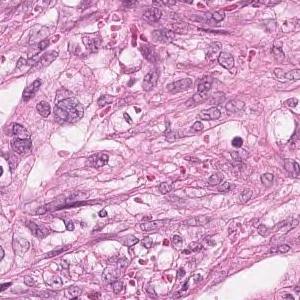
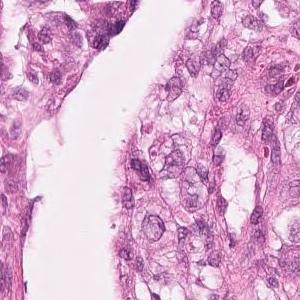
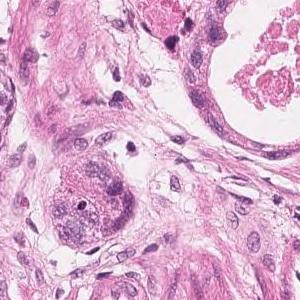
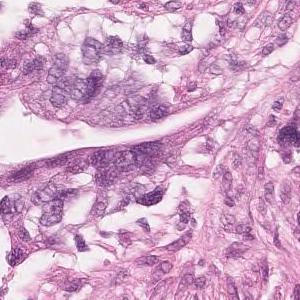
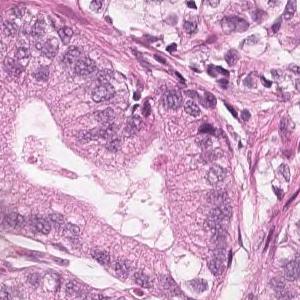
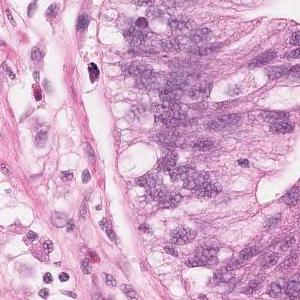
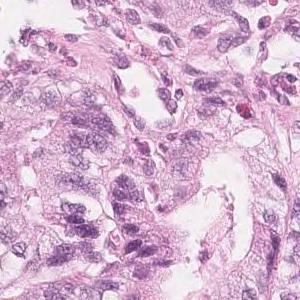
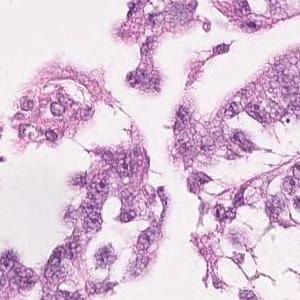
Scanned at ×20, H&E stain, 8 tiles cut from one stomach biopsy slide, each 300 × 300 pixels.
Diagnostic report for the slide these tiles come from. The report describes the whole slide, diagnosis included: not every finding it names need appear in these tiles, which may also show non-tumor tissue.
Highly columnar epithelium with disordered nuclear localization proliferates showing fusion ductal construction. moderately differentiated tubular adenocarcinoma
